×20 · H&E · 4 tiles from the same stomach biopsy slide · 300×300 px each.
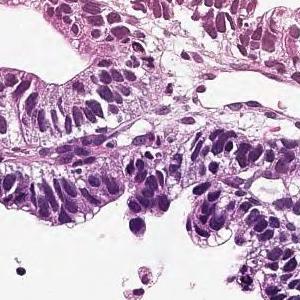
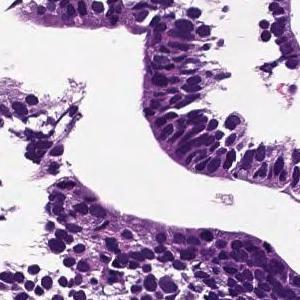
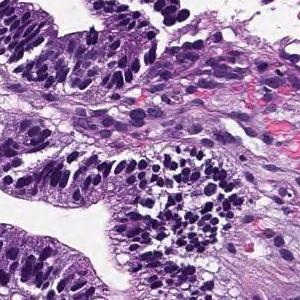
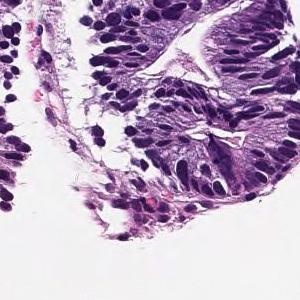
Pathology report for the slide these tiles were cut from. What the report and the diagnosis say applies to the whole slide; these tiles may miss some of the features named and may include tissue that is not tumor.
Tumor cells are large, highly columnar, large club-shaped nuclei, and are associated with chromatin aggregation. Papillary adenocarcinoma.
